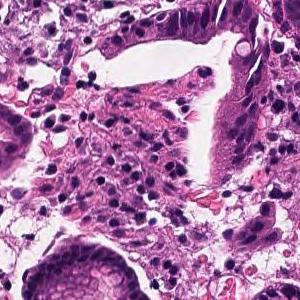
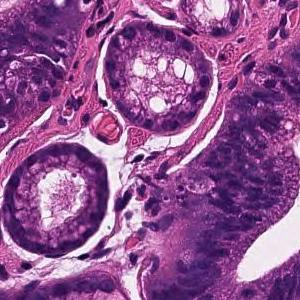
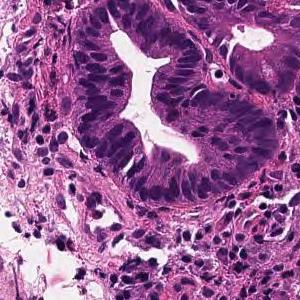
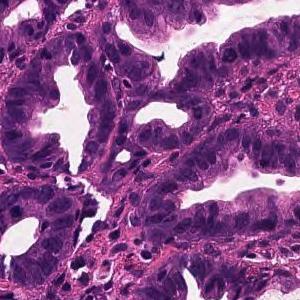
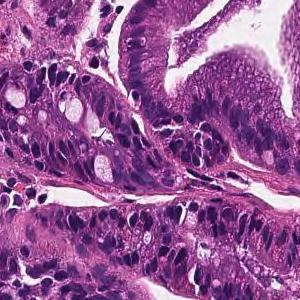
5 patches cut from one gastric biopsy slide; 20× magnification; H&E stain.
Report on the slide these tiles come from. The report and the diagnosis describe the slide as a whole, so these tiles may not show every feature named and may include non-tumor tissue.
On the superficial epithelium, tumor tissue that infiltrates by forming medium-sized papillary or small irregular ducts is observed. Papillary adenocarcinoma
